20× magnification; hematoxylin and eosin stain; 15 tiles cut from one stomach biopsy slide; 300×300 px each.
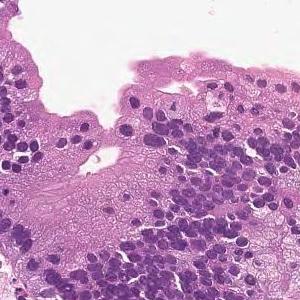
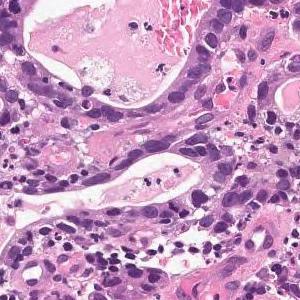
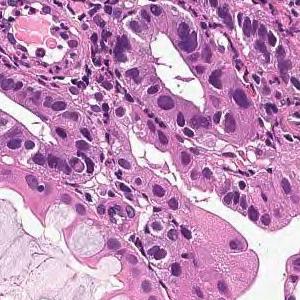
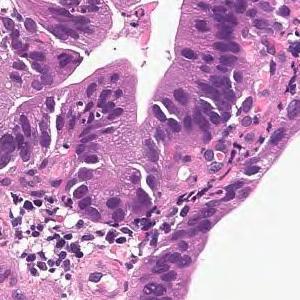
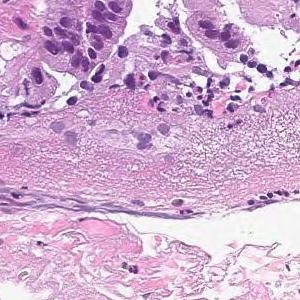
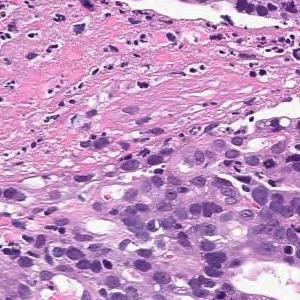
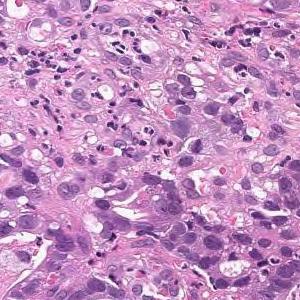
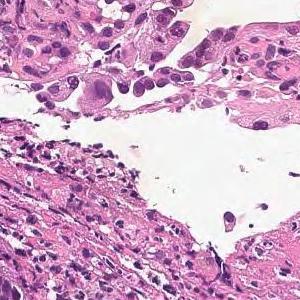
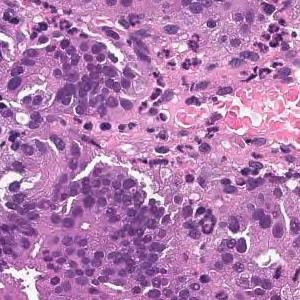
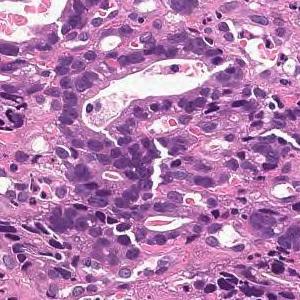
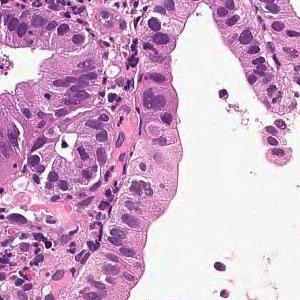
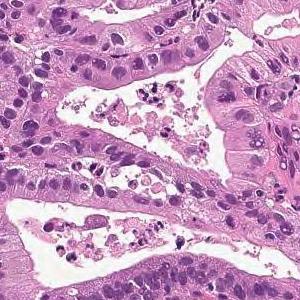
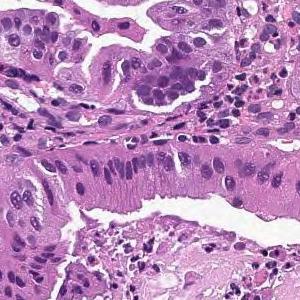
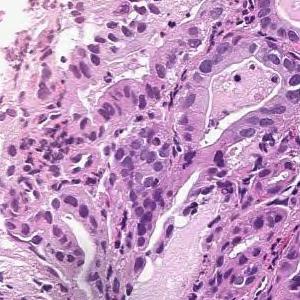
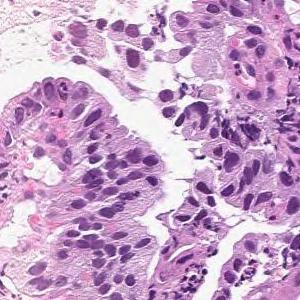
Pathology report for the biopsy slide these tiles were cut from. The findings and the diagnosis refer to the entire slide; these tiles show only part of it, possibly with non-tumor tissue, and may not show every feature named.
From the superficial epithelium to the muscularis mucosae, tumor tissue consisting of medium-sized and irregular glandular ducts infiltrating is observed. Well differentiated tubular adenocarcinoma
